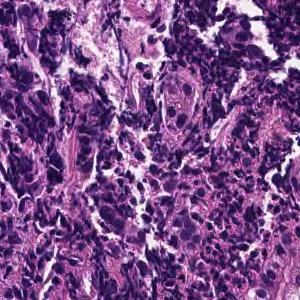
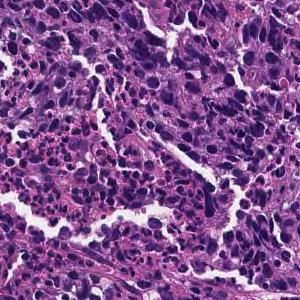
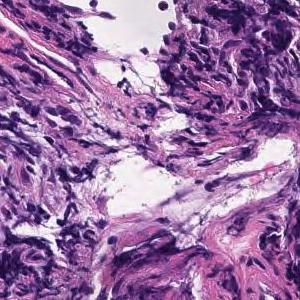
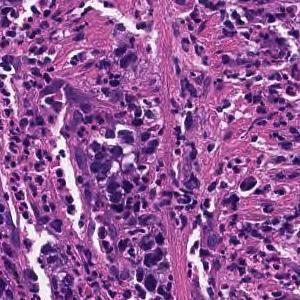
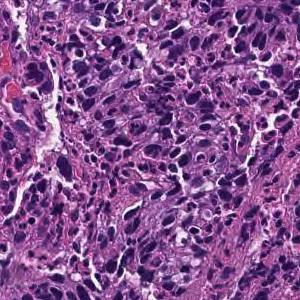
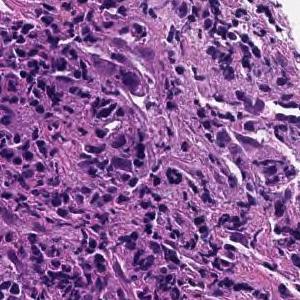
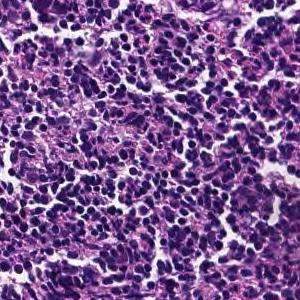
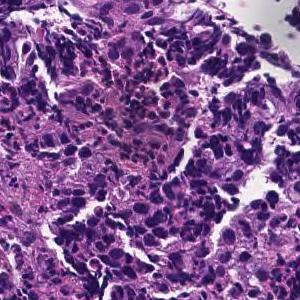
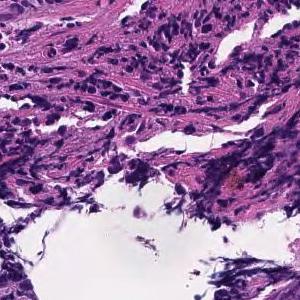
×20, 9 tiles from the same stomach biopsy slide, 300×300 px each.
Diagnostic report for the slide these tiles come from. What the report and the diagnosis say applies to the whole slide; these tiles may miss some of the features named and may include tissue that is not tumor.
Tumor tissue consisting of cord-like or small, irregular glandular ducts fused and infiltrated is observed in the superficial epithelium. Poorly differentiated adenocarcinoma, non-solid type
The non-solid type named here is a Japanese Classification of Gastric Carcinoma category.
